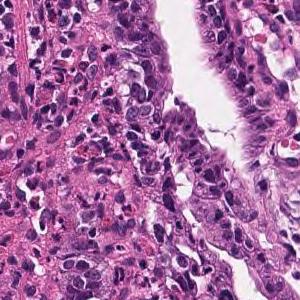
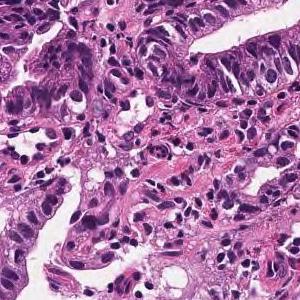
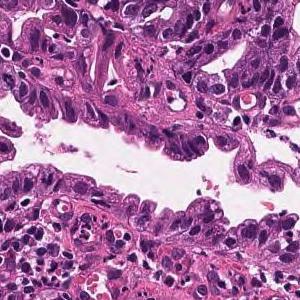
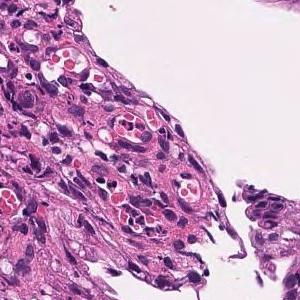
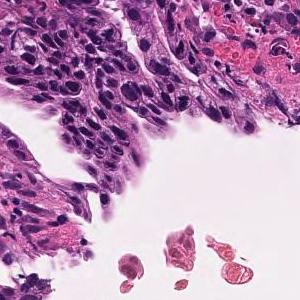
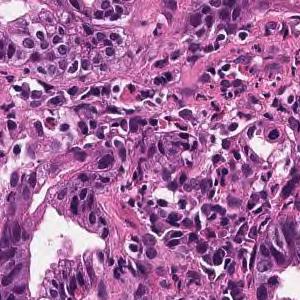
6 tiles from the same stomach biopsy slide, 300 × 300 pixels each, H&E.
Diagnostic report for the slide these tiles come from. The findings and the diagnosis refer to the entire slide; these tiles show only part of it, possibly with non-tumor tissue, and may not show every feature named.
Tumor tissue in which medium to small irregular ducts infiltrate and proliferate in the submucosa can be seen in the epithelium. Well differentiated tubular adenocarcinoma
